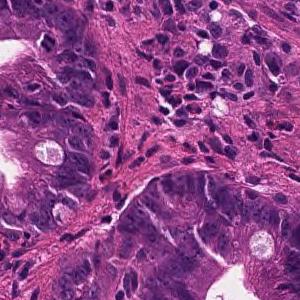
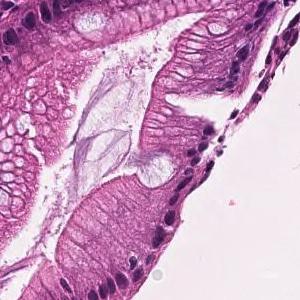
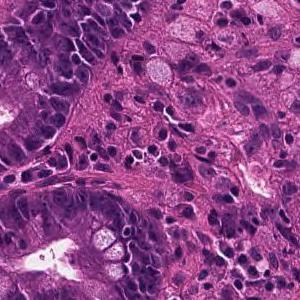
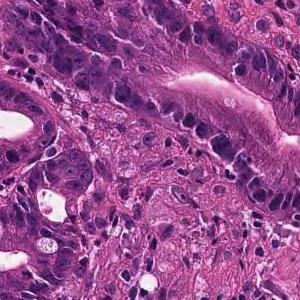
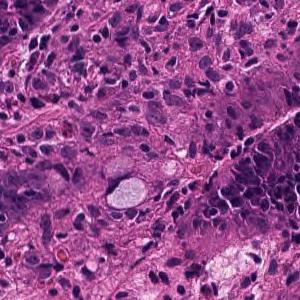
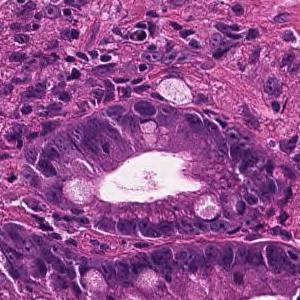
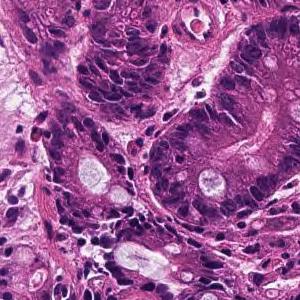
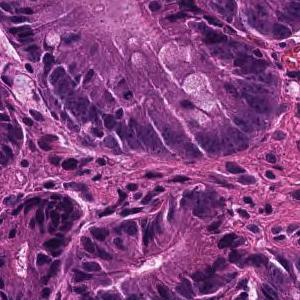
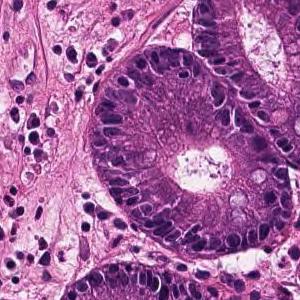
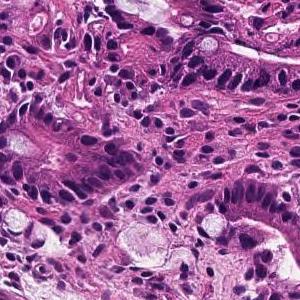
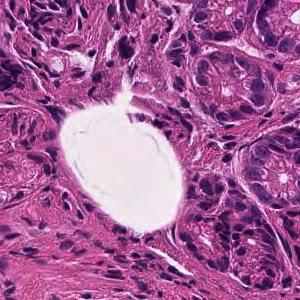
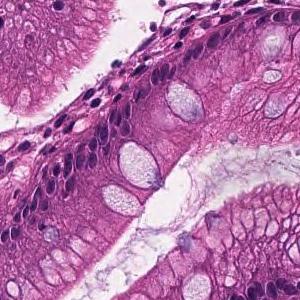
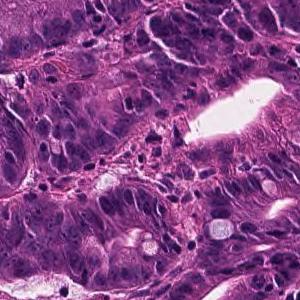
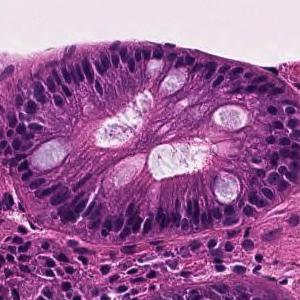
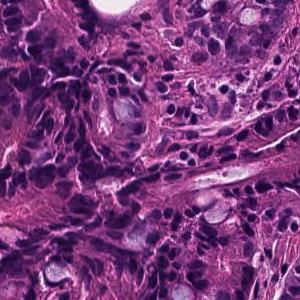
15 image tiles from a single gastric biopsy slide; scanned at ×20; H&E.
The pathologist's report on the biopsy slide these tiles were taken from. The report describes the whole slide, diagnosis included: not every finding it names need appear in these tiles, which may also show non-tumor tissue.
Medium to small, irregular glandular ducts are formed in the superficial epithelium, and in some cases, the glandular ducts are fused to show solid alveolar lesions and infiltrating tumor tissue is observed. Moderately to poorly differentiated adenocarcinoma.
